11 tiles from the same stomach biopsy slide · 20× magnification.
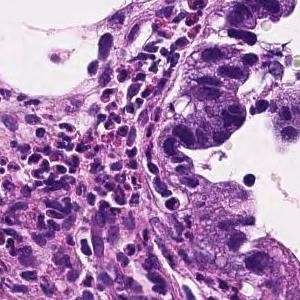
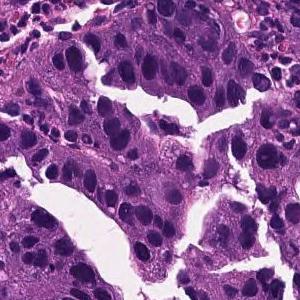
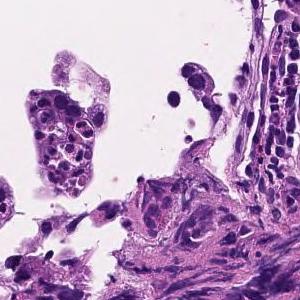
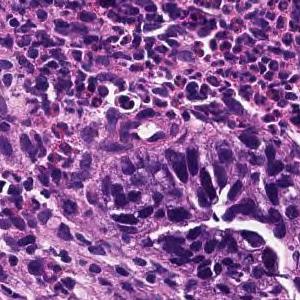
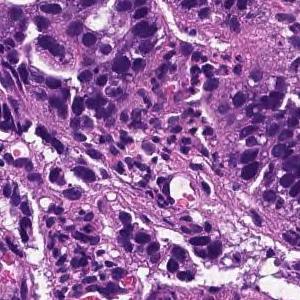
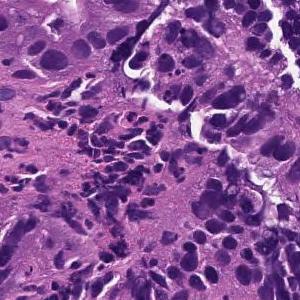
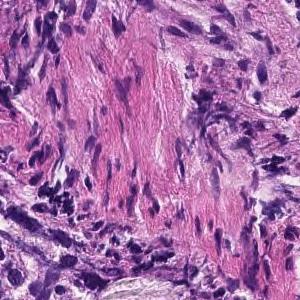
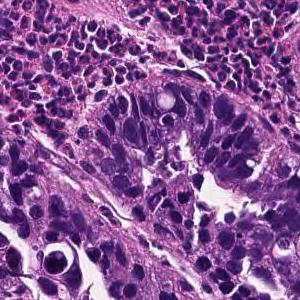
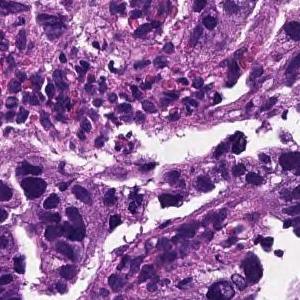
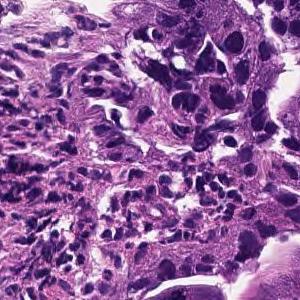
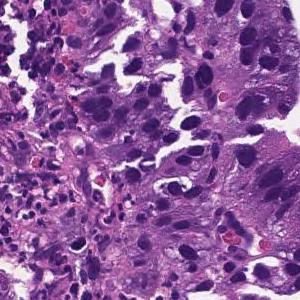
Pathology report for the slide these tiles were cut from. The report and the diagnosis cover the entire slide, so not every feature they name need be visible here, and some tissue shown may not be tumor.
Tumor tissue consisting of large papillary structures is found in the superficial epithelium. Papillary adenocarcinoma.
